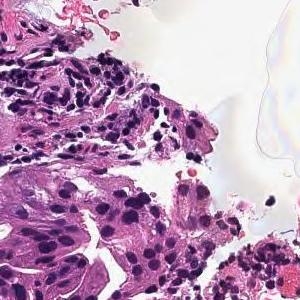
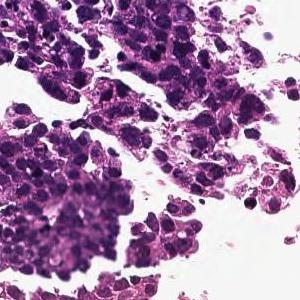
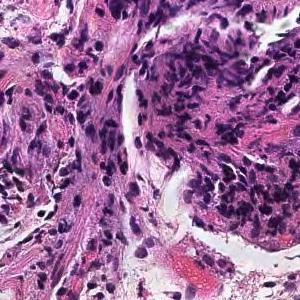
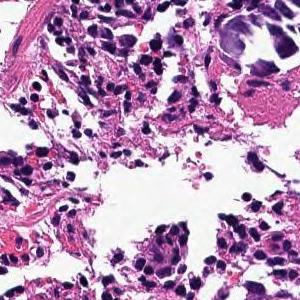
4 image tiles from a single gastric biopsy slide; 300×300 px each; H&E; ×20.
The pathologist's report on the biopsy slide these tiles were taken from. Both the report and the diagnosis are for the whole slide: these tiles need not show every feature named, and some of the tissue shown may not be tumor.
In the superficial epithelium, tumor tissue that invades by forming medium-sized to small, irregular ducts is observed. moderately differentiated tubular adenocarcinoma.
